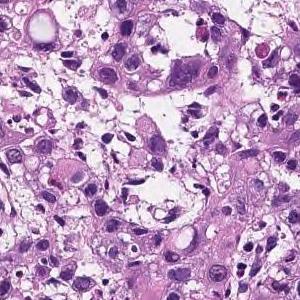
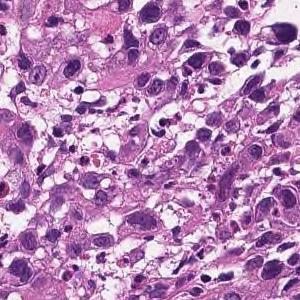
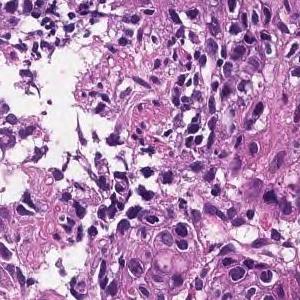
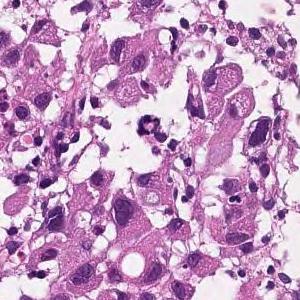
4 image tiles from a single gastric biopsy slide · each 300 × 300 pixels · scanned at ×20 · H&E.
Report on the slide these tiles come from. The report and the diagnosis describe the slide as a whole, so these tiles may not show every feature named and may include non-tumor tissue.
The superficial epithelium shows a large sheet-like shape, and some tumor tissue infiltrates with small irregular ducts. Poorly differentiated adenocarcinoma, solid-type
Subtype: Poorly differentiated adenocarcinoma, solid type, a category of the Japanese Classification of Gastric Carcinoma; in the WHO 2019 classification it is tubular adenocarcinoma, poorly differentiated.
